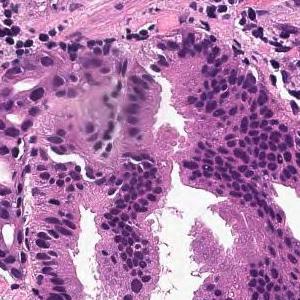
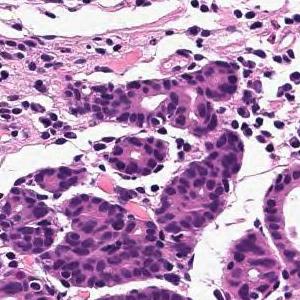
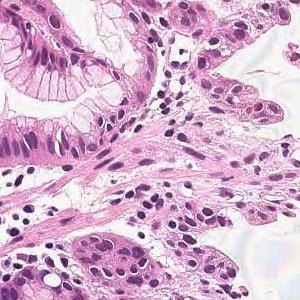
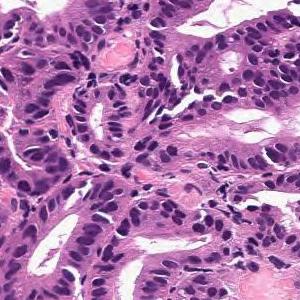
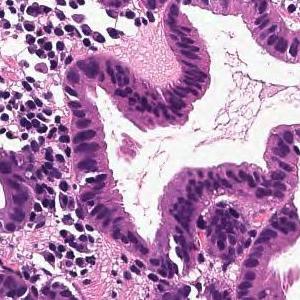
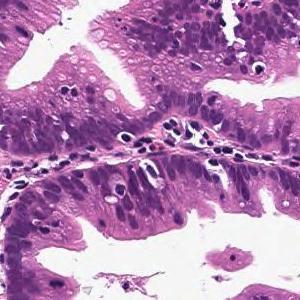
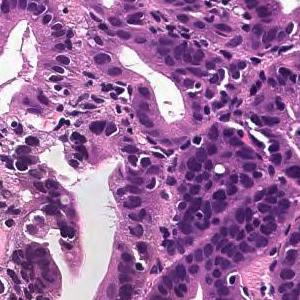
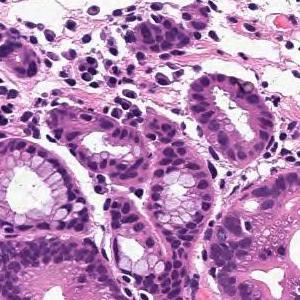
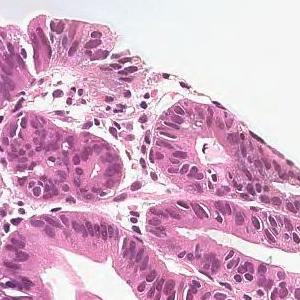
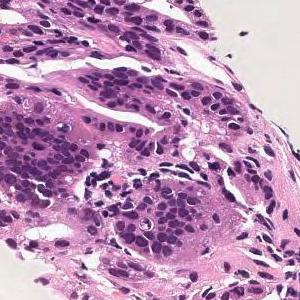
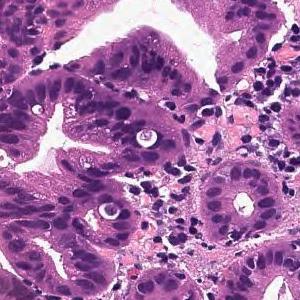
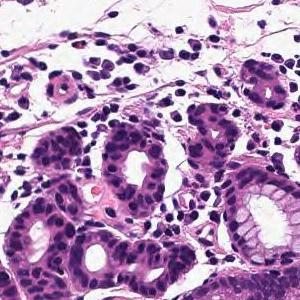
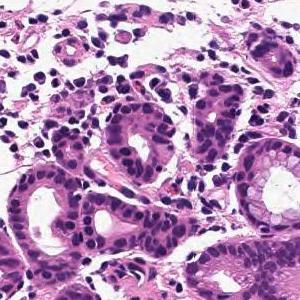
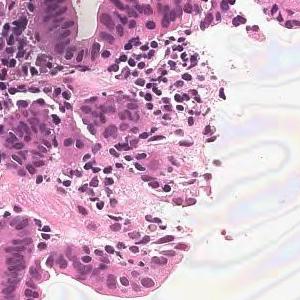
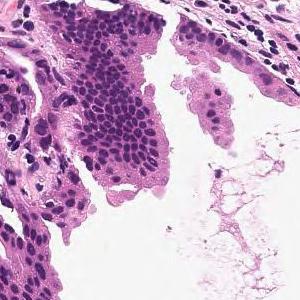
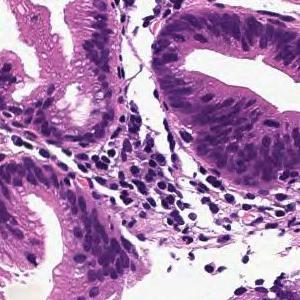
16 patches cut from one gastric biopsy slide · each 300 × 300 pixels · scanned at ×20 · hematoxylin and eosin stain.
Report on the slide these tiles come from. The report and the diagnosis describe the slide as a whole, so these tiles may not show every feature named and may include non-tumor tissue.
Cells with elliptical or atypical nuclei form dense ducts with relatively clear growth. Well differentiated tubular adenocarcinoma
